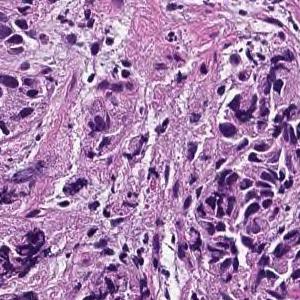
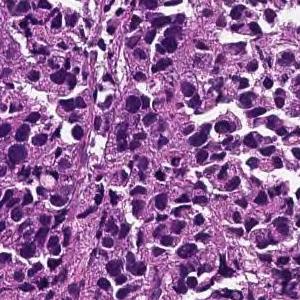
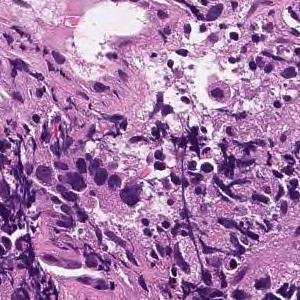
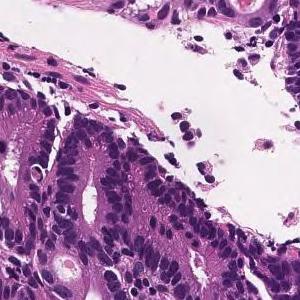
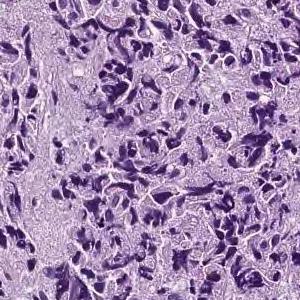
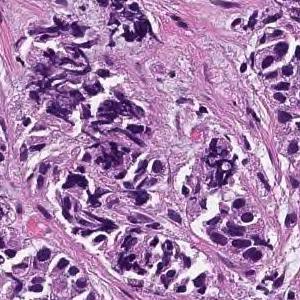
Scanned at ×20 · 6 patches cut from one gastric biopsy slide · 300 × 300 pixels each.
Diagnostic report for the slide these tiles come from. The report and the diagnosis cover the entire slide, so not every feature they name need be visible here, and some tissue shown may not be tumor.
The lamina propria shows small cord-like tumor tissue that infiltrates with fibrosis and marked chronic inflammatory cell infiltration. Poorly differentiated adenocarcinoma, non-solid type
"Non-solid type" is a category of the Japanese Classification of Gastric Carcinoma.
